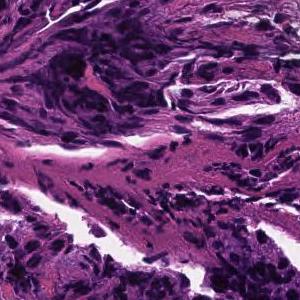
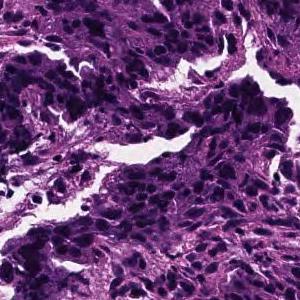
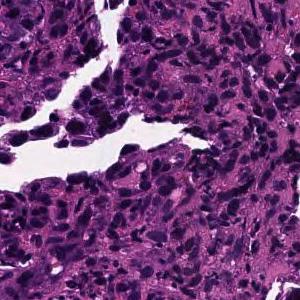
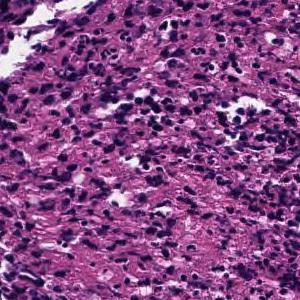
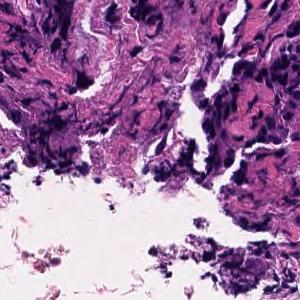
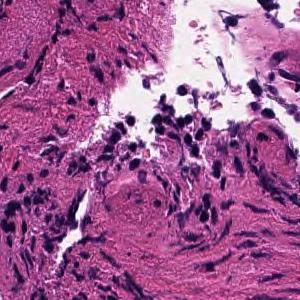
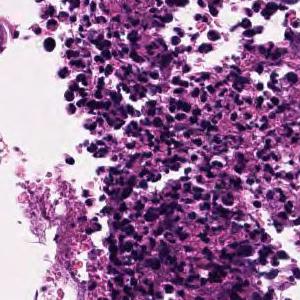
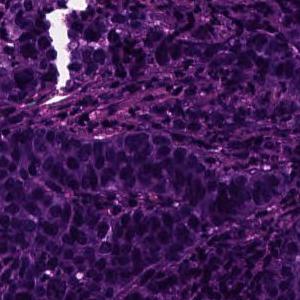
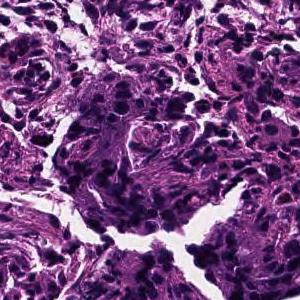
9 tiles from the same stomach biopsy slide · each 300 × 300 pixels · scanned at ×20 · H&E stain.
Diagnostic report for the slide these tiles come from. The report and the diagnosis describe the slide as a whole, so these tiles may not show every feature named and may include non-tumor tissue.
In the superficial epithelium, tumor tissue that invades by forming medium-sized to small, irregular ducts is observed. moderately differentiated tubular adenocarcinoma.
